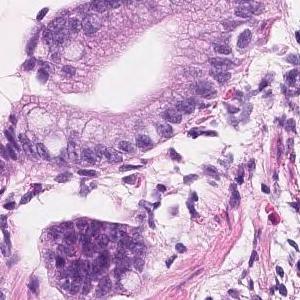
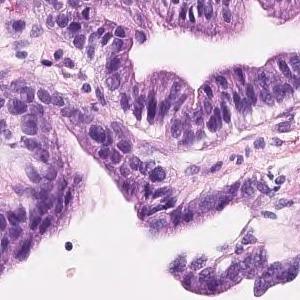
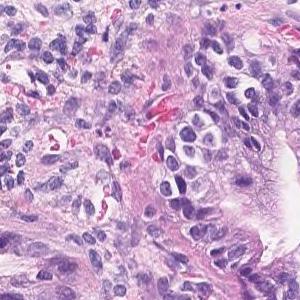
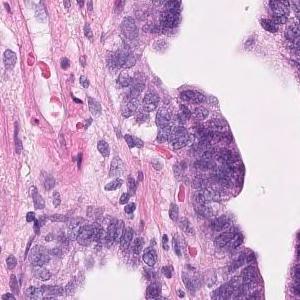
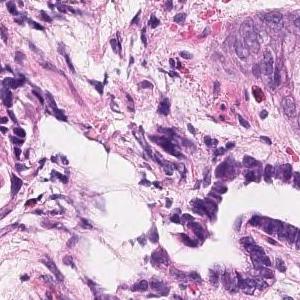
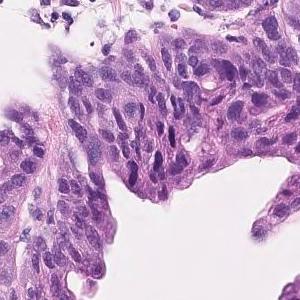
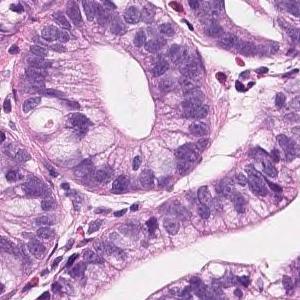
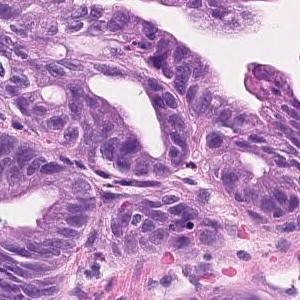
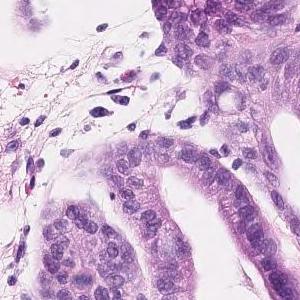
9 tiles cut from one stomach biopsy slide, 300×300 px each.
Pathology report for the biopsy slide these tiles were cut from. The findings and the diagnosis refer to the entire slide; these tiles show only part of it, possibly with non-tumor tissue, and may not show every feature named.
Tumor cells are large, highly columnar, large club-shaped nuclei, and are associated with chromatin aggregation. Papillary adenocarcinoma.
